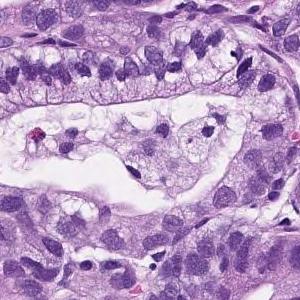
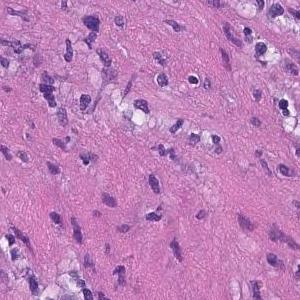
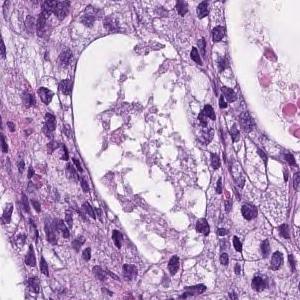
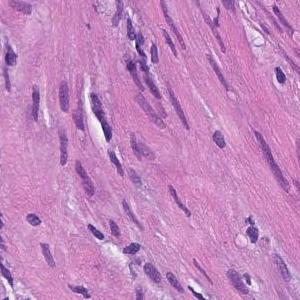
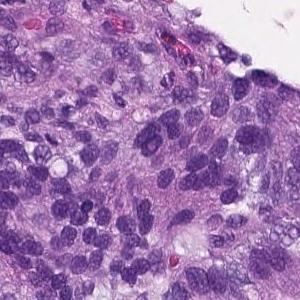
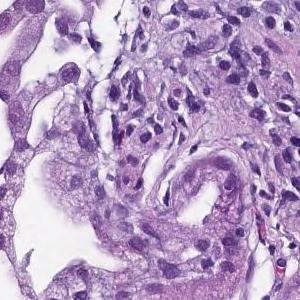
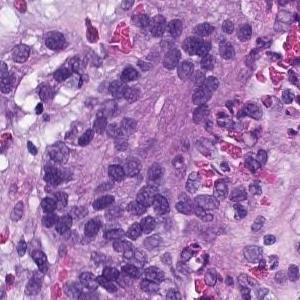
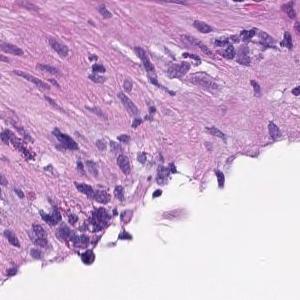
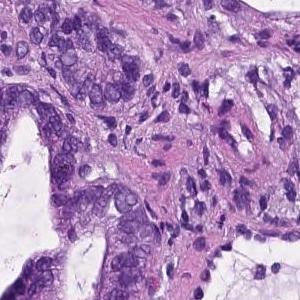
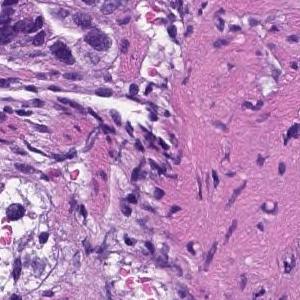
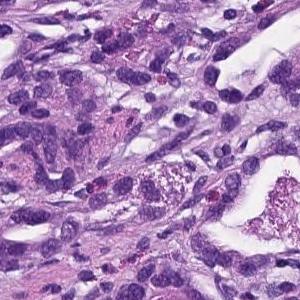
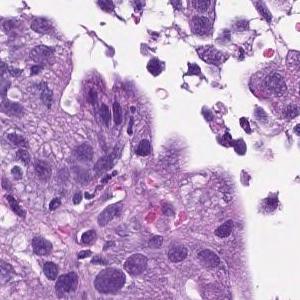
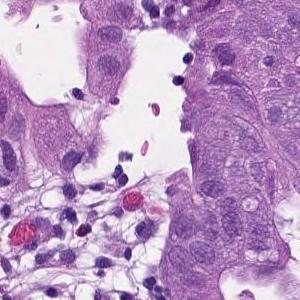
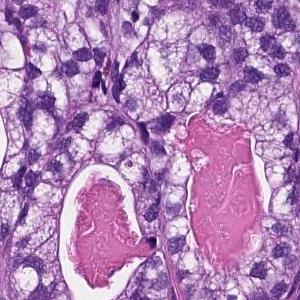
H&E stain · ×20 · 14 image tiles from a single gastric biopsy slide.
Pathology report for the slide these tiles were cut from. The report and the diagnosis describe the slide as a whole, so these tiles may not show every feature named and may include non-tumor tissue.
From the superficial epithelium to the muscularis mucosae, tumor tissue consisting of medium-sized and irregular glandular ducts infiltrating is observed. Well differentiated tubular adenocarcinoma
